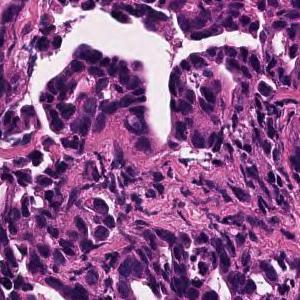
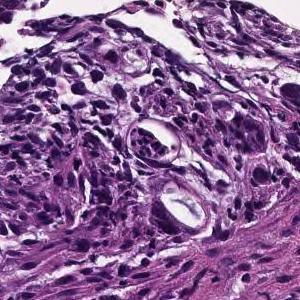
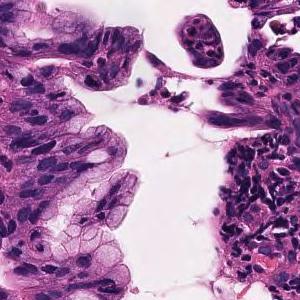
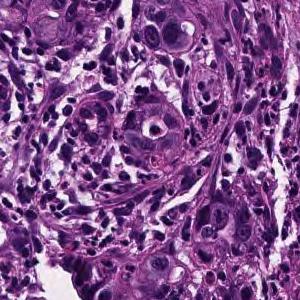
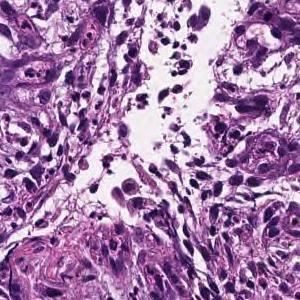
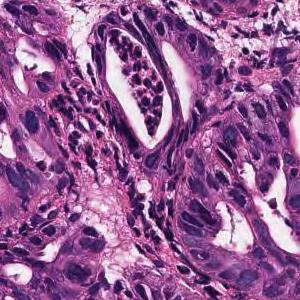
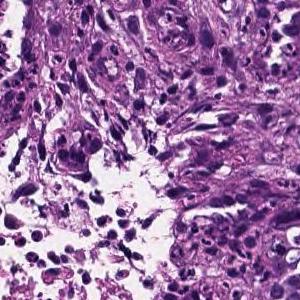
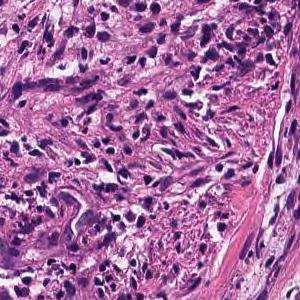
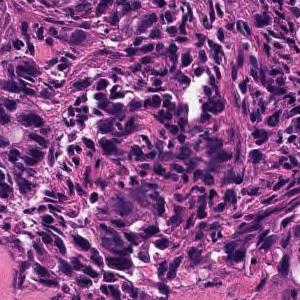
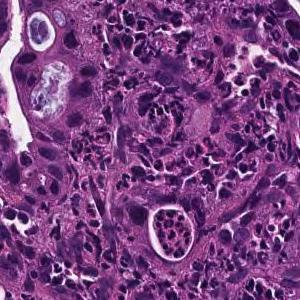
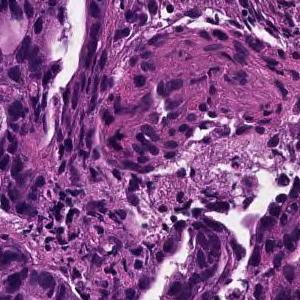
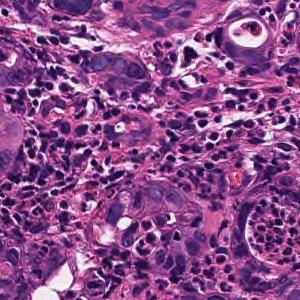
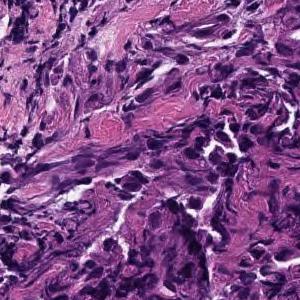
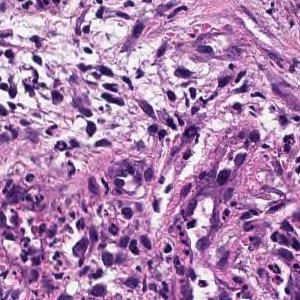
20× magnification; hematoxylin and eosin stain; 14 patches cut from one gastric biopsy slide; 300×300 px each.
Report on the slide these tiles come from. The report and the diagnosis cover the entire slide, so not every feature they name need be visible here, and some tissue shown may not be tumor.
In the superficial epithelium, medium-sized to small irregular glandular ducts are formed, and in some cases, the glandular ducts are fused or small cord-like infiltrating tumor tissue is observed. moderately differentiated tubular adenocarcinoma
